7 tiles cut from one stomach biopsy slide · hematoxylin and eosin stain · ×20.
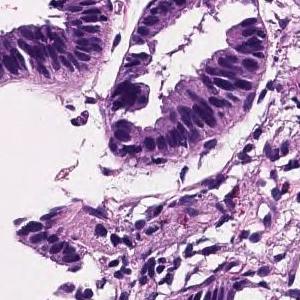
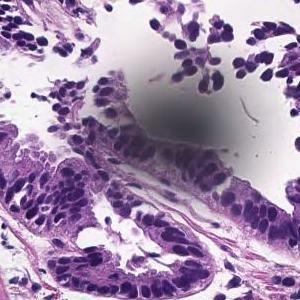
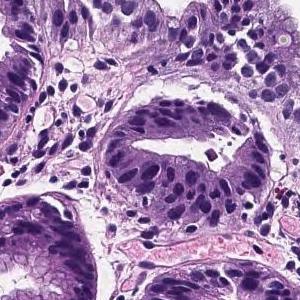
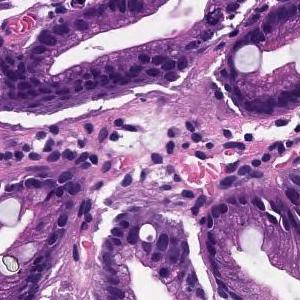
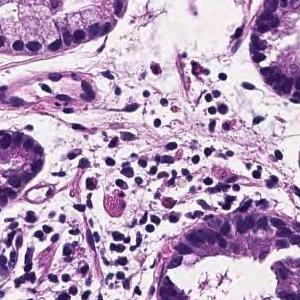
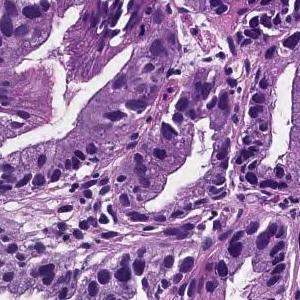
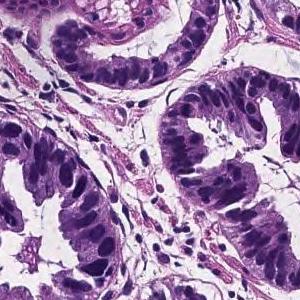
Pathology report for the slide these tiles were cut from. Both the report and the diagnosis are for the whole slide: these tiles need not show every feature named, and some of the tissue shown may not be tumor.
Tumor cells are large, highly columnar, large club-shaped nuclei, and are associated with chromatin aggregation. Papillary adenocarcinoma.
